15 tiles from the same stomach biopsy slide; 300 × 300 pixels each; hematoxylin and eosin stain.
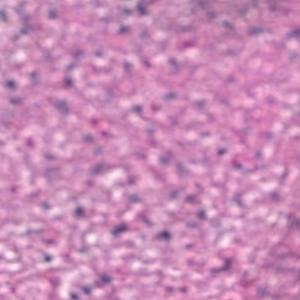
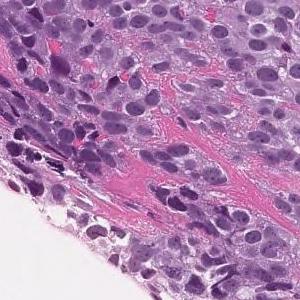
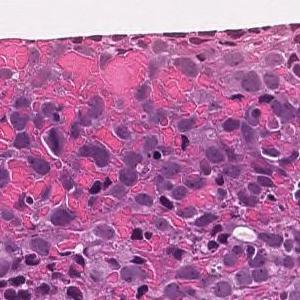
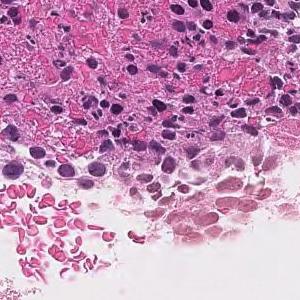
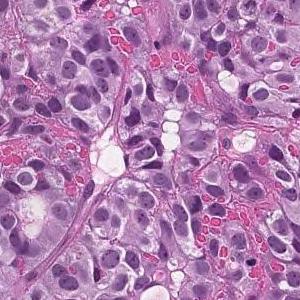
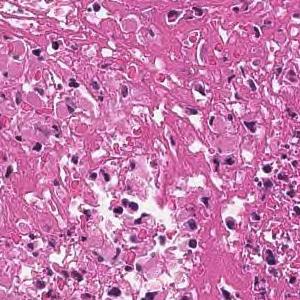
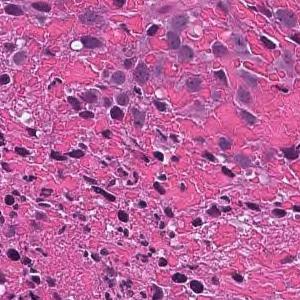
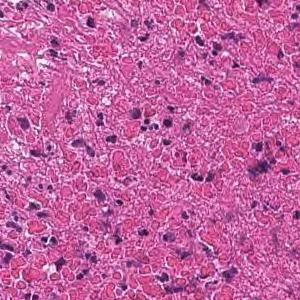
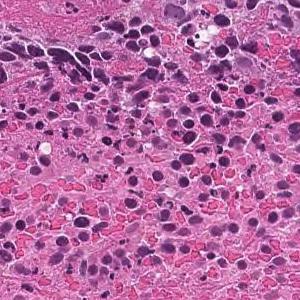
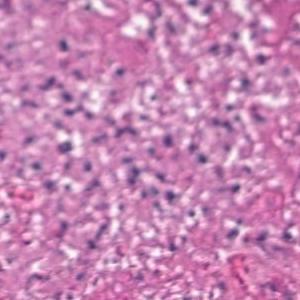
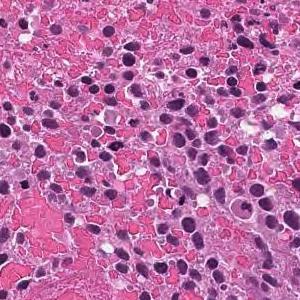
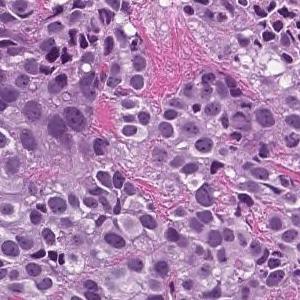
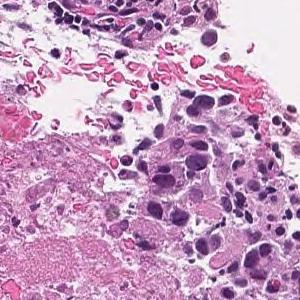
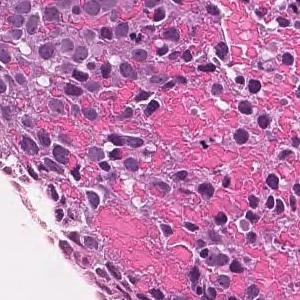
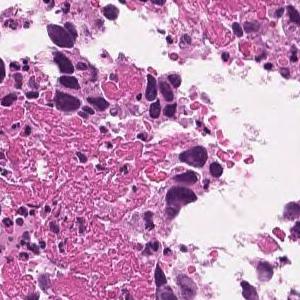
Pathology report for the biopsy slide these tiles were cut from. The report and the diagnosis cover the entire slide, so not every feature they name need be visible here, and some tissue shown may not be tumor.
The superficial epithelium shows a large sheet-like shape, and some tumor tissue infiltrates with small irregular ducts. Poorly differentiated adenocarcinoma, solid-type
Tumor subtype: poorly differentiated adenocarcinoma, solid type. This name comes from the Japanese Classification of Gastric Carcinoma; the WHO 2019 classification calls it tubular adenocarcinoma, poorly differentiated.
